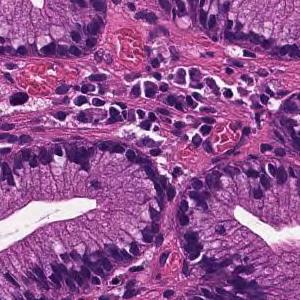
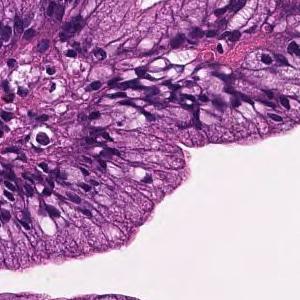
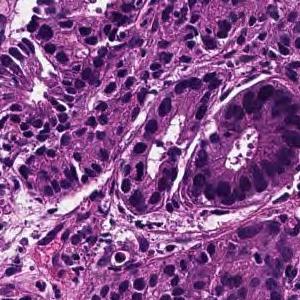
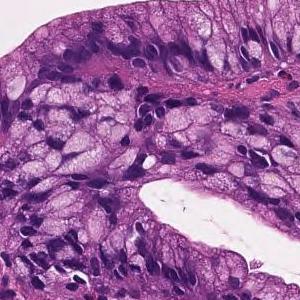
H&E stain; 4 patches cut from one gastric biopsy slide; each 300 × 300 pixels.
The pathologist's report on the biopsy slide these tiles were taken from. What the report and the diagnosis say applies to the whole slide; these tiles may miss some of the features named and may include tissue that is not tumor.
On the superficial epithelium, tumor tissue consisting of medium-sized and irregular glandular ducts partially fused and infiltrated is observed. Well to moderately differentiated tubular adenocarcinoma (well differentiated tubular adenocarcinoma-moderately differentiated tubular adenocarcinoma)
Subtype: Well to moderately differentiated tubular adenocarcinoma.
